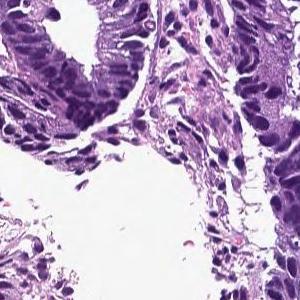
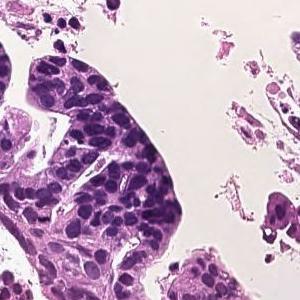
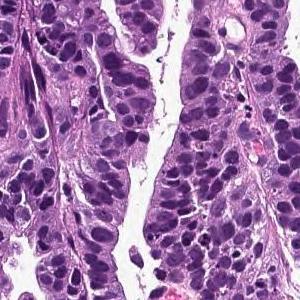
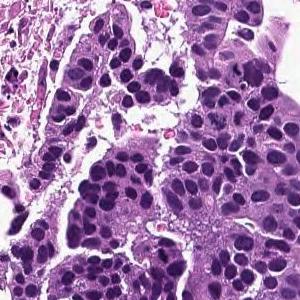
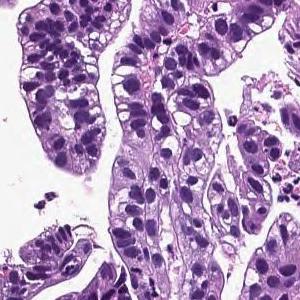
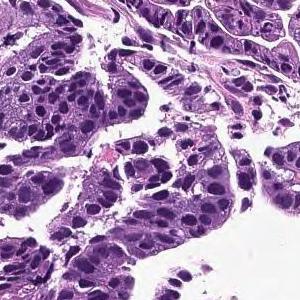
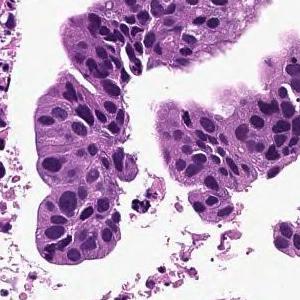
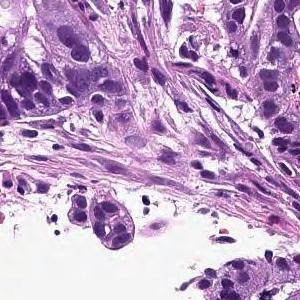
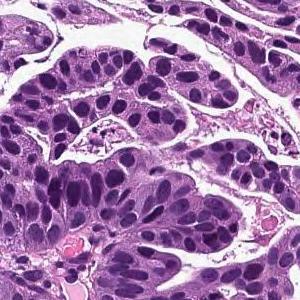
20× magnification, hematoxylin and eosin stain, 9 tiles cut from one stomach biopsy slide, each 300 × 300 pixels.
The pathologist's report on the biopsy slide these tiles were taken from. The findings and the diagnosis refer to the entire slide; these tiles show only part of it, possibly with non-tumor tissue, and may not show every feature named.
Tumor cells are large, highly columnar, large club-shaped nuclei, and are associated with chromatin aggregation. Papillary adenocarcinoma.
